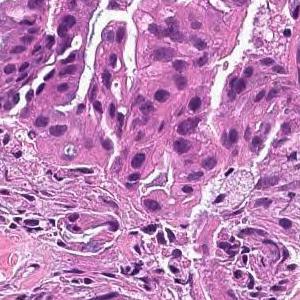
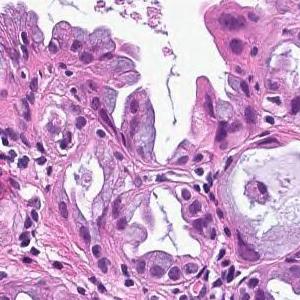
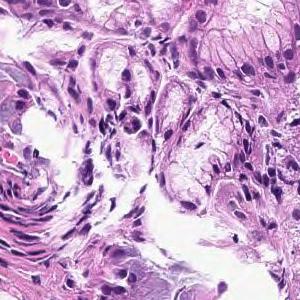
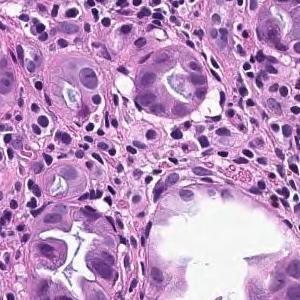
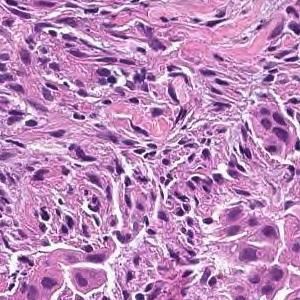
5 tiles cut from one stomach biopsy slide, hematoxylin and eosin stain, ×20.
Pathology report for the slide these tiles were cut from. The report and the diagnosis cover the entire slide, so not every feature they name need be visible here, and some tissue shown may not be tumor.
From the superficial epithelium to the muscularis mucosae, tumor tissue consisting of medium-sized and irregular glandular ducts infiltrating is observed. Well differentiated tubular adenocarcinoma
